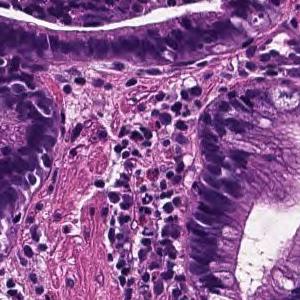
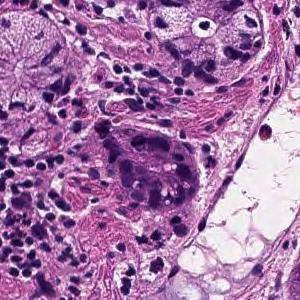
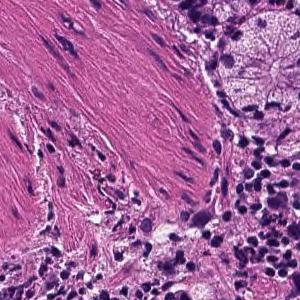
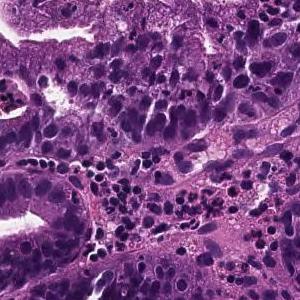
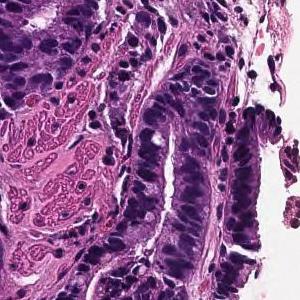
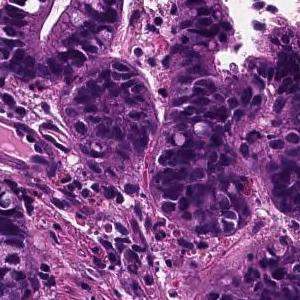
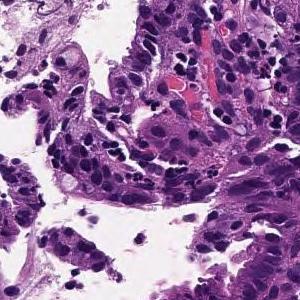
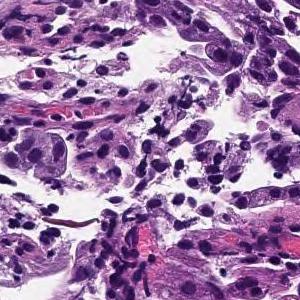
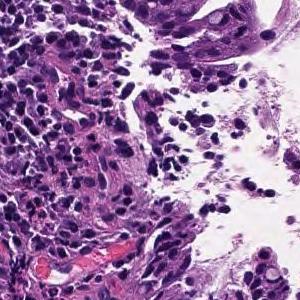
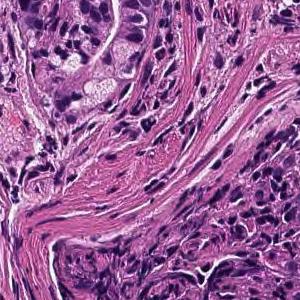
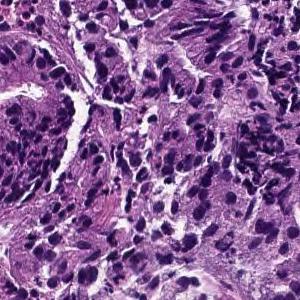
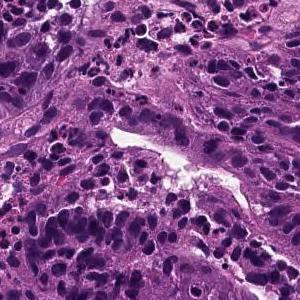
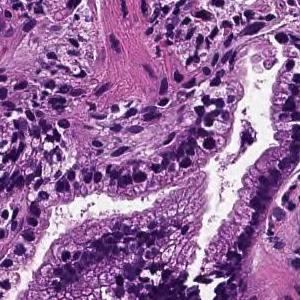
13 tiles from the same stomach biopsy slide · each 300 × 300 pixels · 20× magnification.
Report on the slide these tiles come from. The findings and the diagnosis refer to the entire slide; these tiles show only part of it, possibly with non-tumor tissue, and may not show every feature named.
From the superficial epithelium to the muscularis mucosae, tumor tissue consisting of medium-sized and irregular glandular ducts infiltrating is observed. Well differentiated tubular adenocarcinoma
